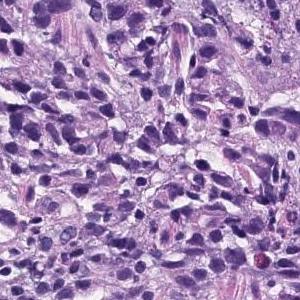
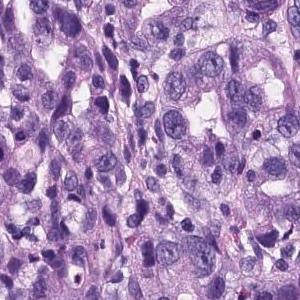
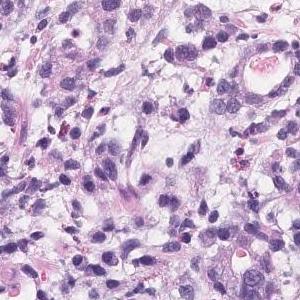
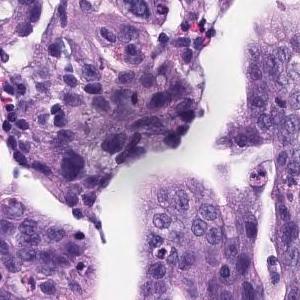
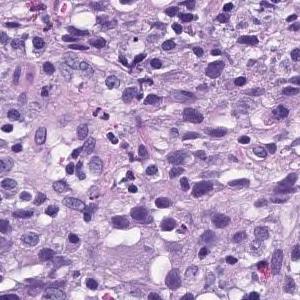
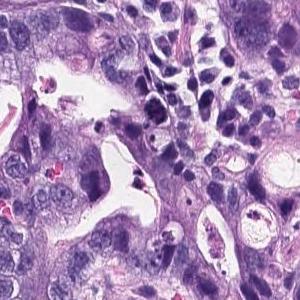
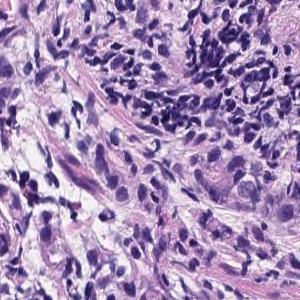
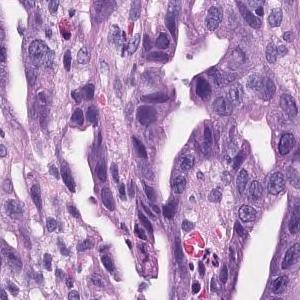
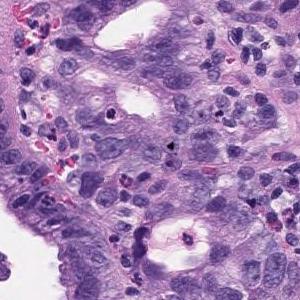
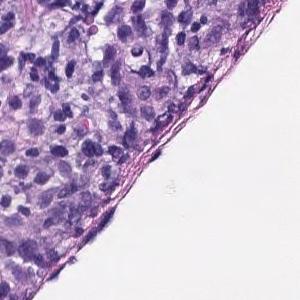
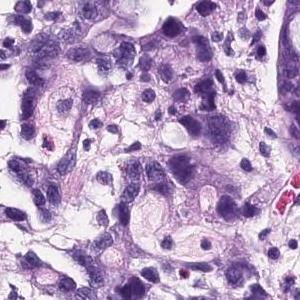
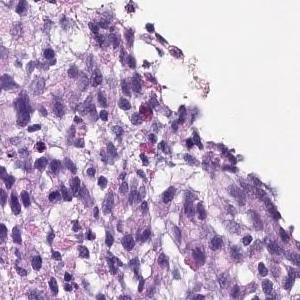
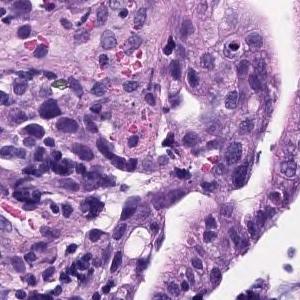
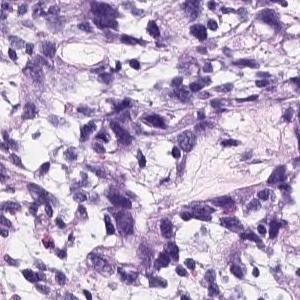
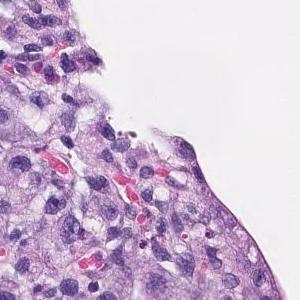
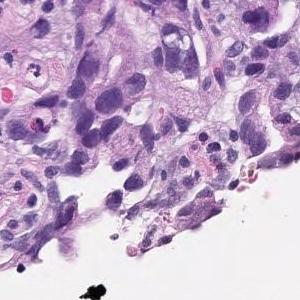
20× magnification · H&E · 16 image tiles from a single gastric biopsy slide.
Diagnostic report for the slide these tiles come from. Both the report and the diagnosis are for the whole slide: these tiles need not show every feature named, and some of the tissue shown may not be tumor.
There are atypical l cells with atypical nuclei forming cord-like or irregular atypical ducts from solidity and proliferating in a comprehensive manner. Poorly differentiated adenocarcinoma, Moderately differentiated adenocarcinoma (poorly differentiated adenocarcinoma, solid type moderately differentiated tubular adenocarcinoma)
Tumor subtype: moderately to poorly differentiated adenocarcinoma.
The term "solid type" comes from the Japanese Classification of Gastric Carcinoma; the WHO 2019 equivalent is tubular adenocarcinoma, poorly differentiated.
